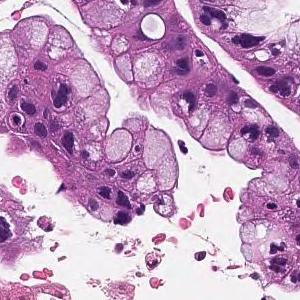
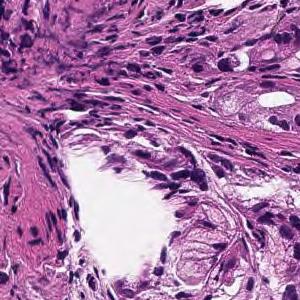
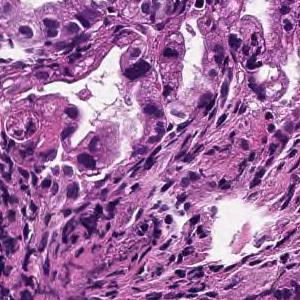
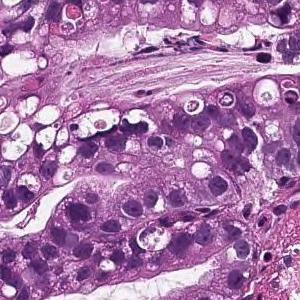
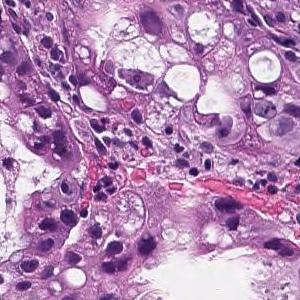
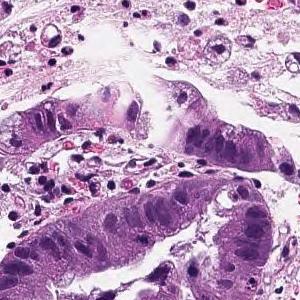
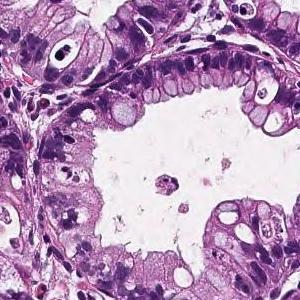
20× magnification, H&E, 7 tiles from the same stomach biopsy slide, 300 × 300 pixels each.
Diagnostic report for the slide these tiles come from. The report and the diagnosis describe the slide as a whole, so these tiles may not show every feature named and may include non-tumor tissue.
From the superficial epithelium to the muscularis mucosae, tumor tissue consisting of medium-sized and irregular glandular ducts infiltrating is observed. Well differentiated tubular adenocarcinoma
